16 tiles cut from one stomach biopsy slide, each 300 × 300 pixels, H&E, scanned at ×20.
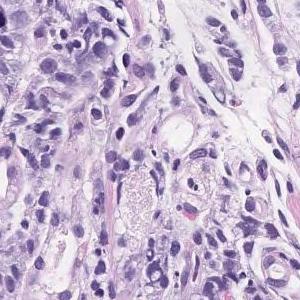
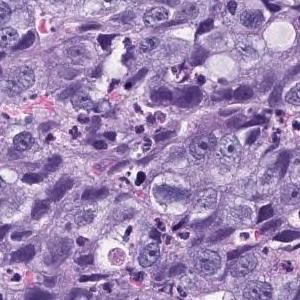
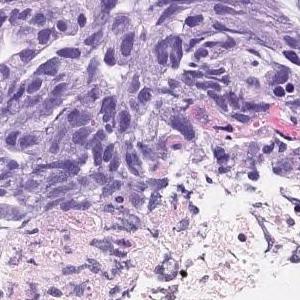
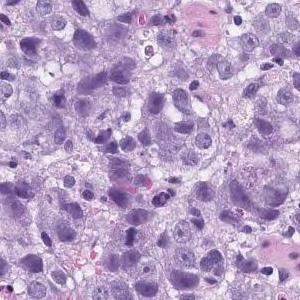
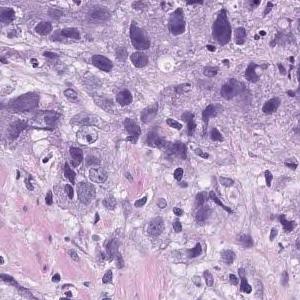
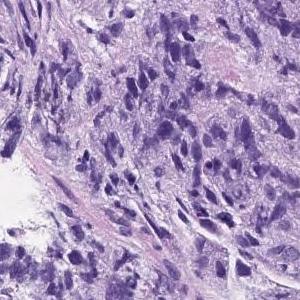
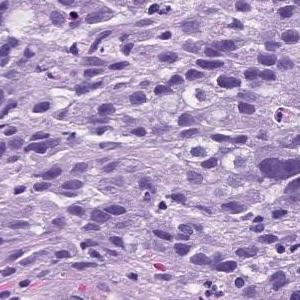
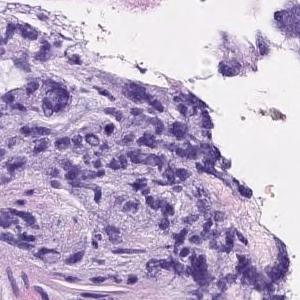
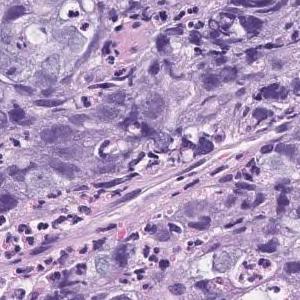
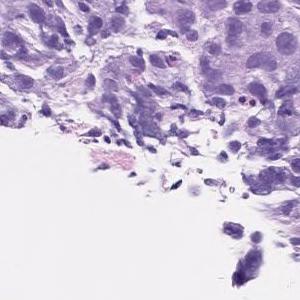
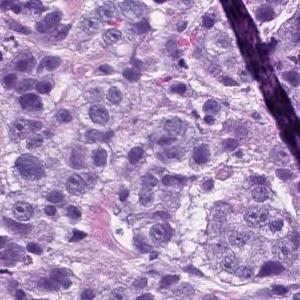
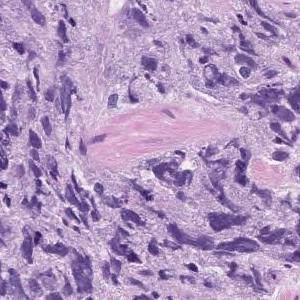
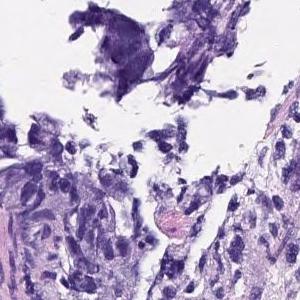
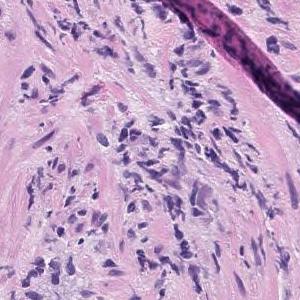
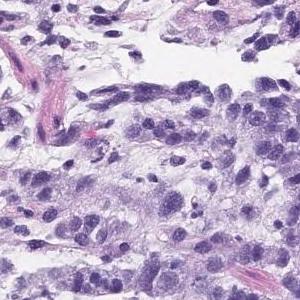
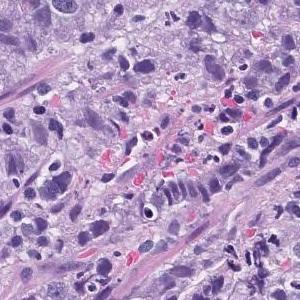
The pathologist's report on the biopsy slide these tiles were taken from. The report and the diagnosis cover the entire slide, so not every feature they name need be visible here, and some tissue shown may not be tumor.
Atypical l cells with atypical nuclei forming solid vesicles or small irregular atypical ducts that proliferate in a complex manner. poorly differentiated adenocarcinoma, solid type, moderately differentiated tubular adenocarcinoma
The term "solid type" comes from the Japanese Classification of Gastric Carcinoma; the WHO 2019 equivalent is tubular adenocarcinoma, poorly differentiated.
